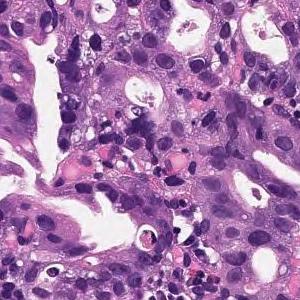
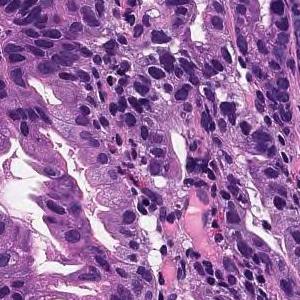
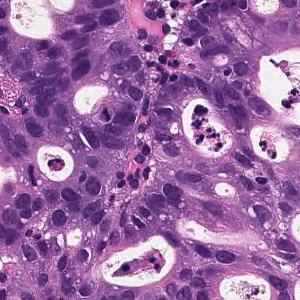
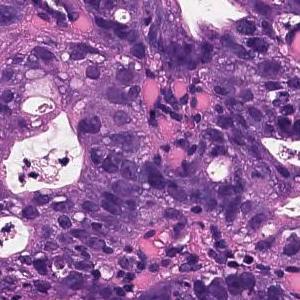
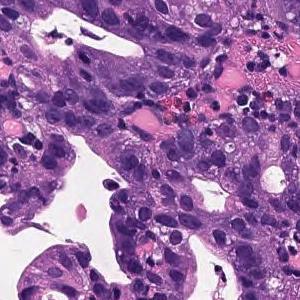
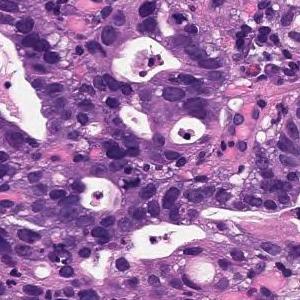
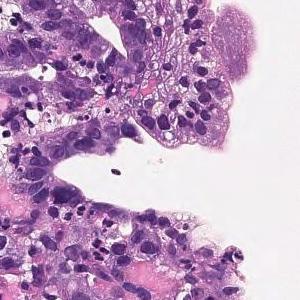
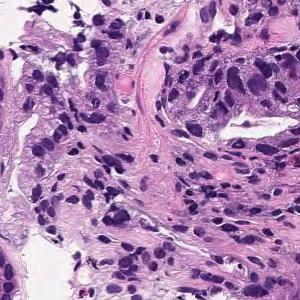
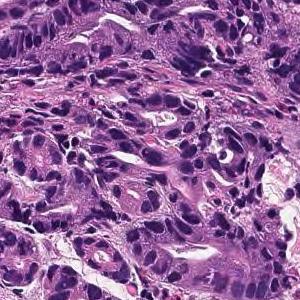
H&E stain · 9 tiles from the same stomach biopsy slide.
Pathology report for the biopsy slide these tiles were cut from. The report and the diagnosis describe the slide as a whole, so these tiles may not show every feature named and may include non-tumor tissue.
On the superficial epithelium, tumor tissue consisting of large, irregular glandular ducts partially fused and infiltrated is observed. Well to moderately differentiated tubular adenocarcinoma (well differentiated tubular adenocarcinoma, moderately differentiated tubular adenocarcinoma)
Classified as well to moderately differentiated tubular adenocarcinoma.
